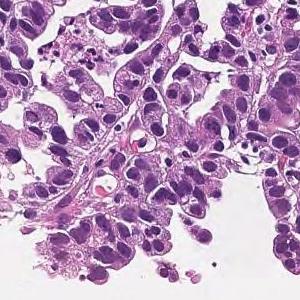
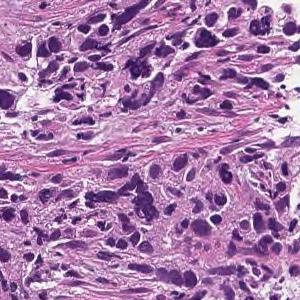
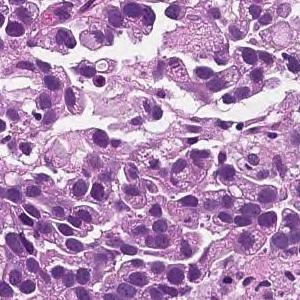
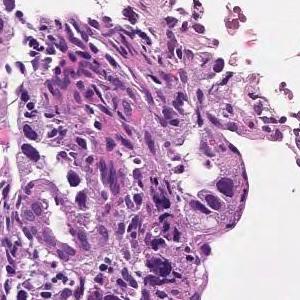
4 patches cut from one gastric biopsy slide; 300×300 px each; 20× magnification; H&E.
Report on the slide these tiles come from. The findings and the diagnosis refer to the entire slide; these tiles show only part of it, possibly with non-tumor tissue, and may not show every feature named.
The superficial epithelium shows a large sheet-like shape, and some tumor tissue infiltrates with small irregular ducts. Poorly differentiated adenocarcinoma, solid-type
Tumor subtype: poorly differentiated adenocarcinoma, solid type. This name comes from the Japanese Classification of Gastric Carcinoma; the WHO 2019 classification calls it tubular adenocarcinoma, poorly differentiated.
